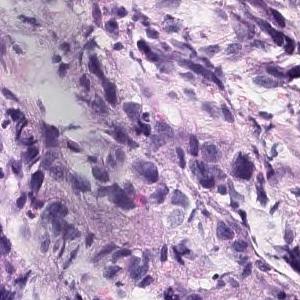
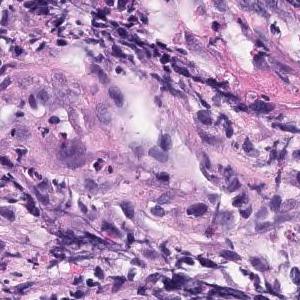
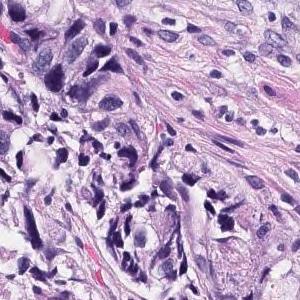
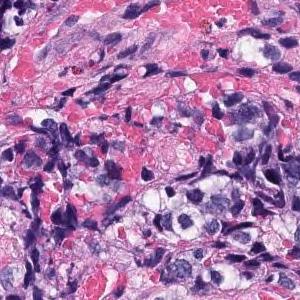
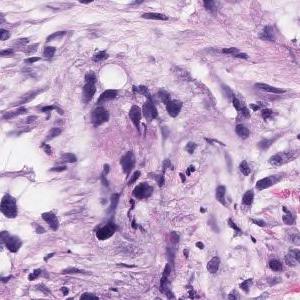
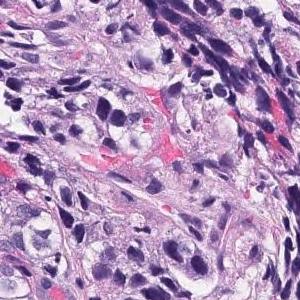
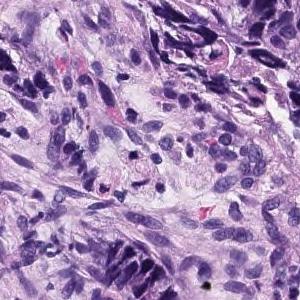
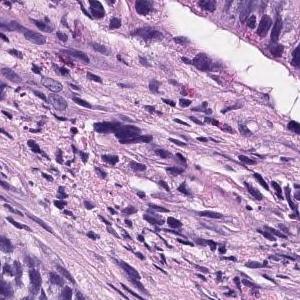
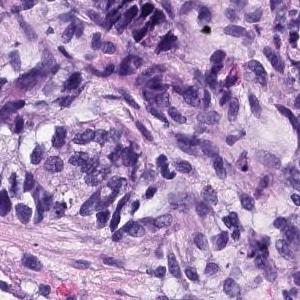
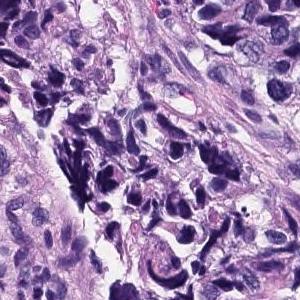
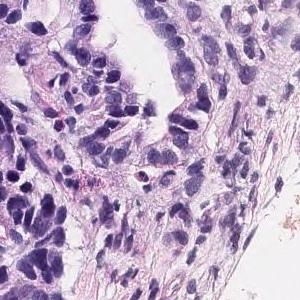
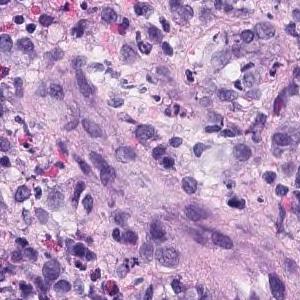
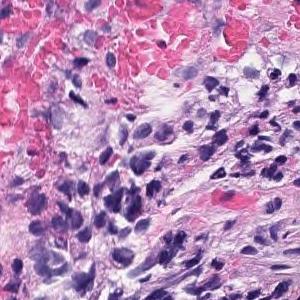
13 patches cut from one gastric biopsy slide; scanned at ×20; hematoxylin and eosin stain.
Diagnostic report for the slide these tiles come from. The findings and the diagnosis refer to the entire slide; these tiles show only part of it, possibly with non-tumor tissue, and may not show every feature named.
The superficial epithelium shows small cord-like infiltrating tumor tissue. Some part of neoplastic cells are signet ring cell type which show single invasion manner. Poorly differentiated adenocarcinoma, non-solid type.
The non-solid type named here is a Japanese Classification of Gastric Carcinoma category.
